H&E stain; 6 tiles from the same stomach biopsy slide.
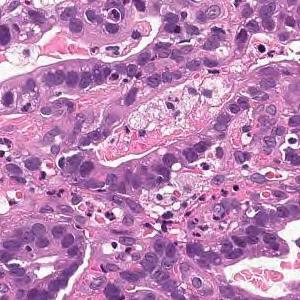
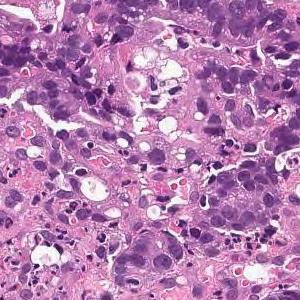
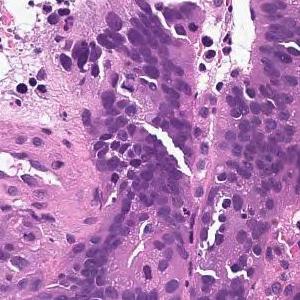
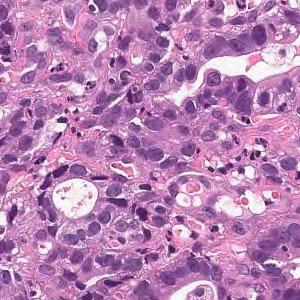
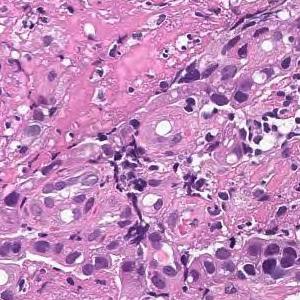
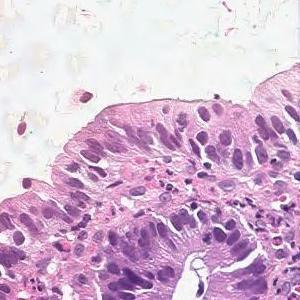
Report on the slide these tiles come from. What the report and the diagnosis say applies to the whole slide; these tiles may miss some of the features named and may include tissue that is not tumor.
From the superficial epithelium to the muscularis mucosae, tumor tissue consisting of medium-sized and irregular glandular ducts infiltrating is observed. Well differentiated tubular adenocarcinoma
